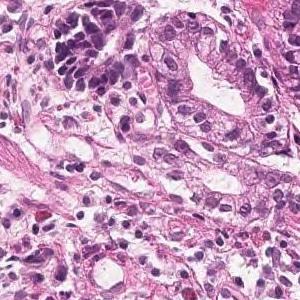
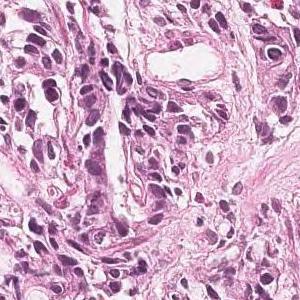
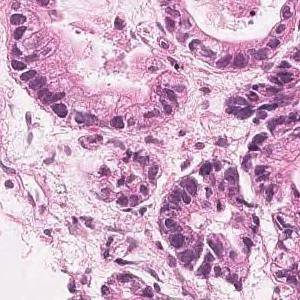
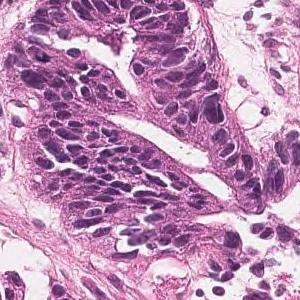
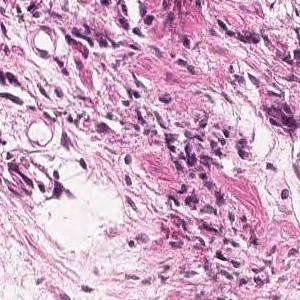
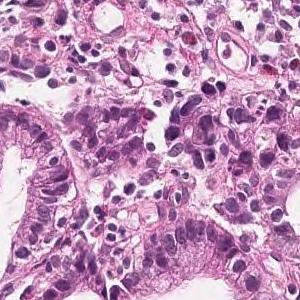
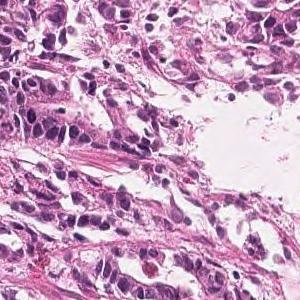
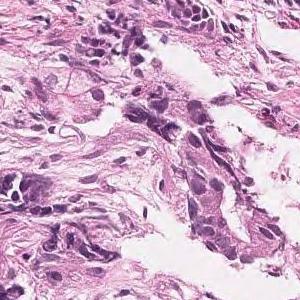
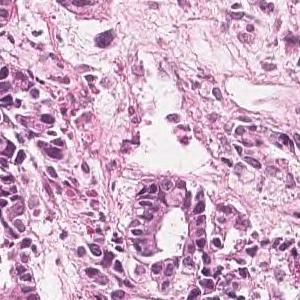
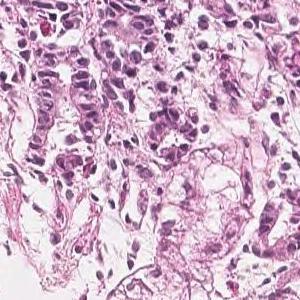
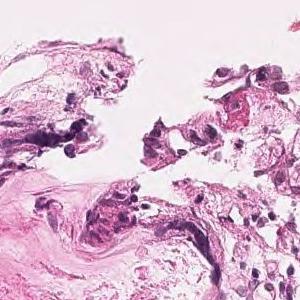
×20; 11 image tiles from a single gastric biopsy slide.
Pathology report for the biopsy slide these tiles were cut from. The report describes the whole slide, diagnosis included: not every finding it names need appear in these tiles, which may also show non-tumor tissue.
On the superficial epithelium, tumor tissue consisting of large, irregular glandular ducts partially fused and infiltrated is observed. Well to moderately differentiated tubular adenocarcinoma (well differentiated tubular adenocarcinoma, moderately differentiated tubular adenocarcinoma)
Histological subtype: Well to moderately differentiated tubular adenocarcinoma.
